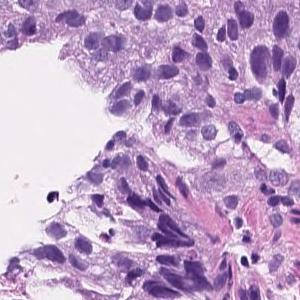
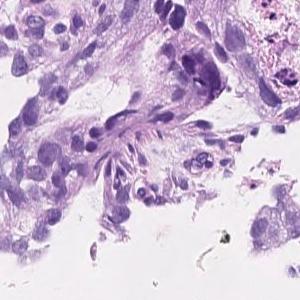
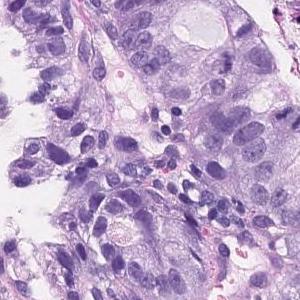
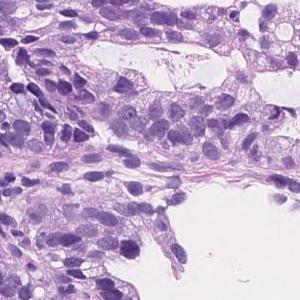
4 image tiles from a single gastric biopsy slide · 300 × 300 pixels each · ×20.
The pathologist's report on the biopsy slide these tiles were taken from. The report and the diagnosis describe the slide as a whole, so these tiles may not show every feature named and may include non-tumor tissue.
On the superficial epithelium, tumor tissue consisting of an image of large, irregular glandular ducts partially fused and infiltrated is observed. Well to moderately differentiated tubular adenocarcinoma
